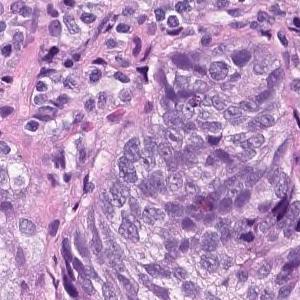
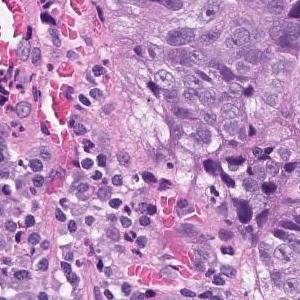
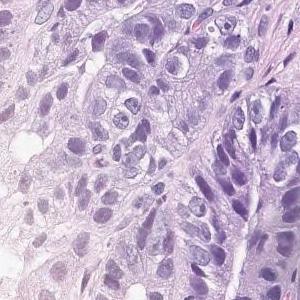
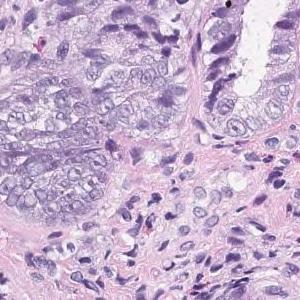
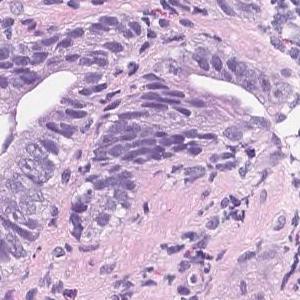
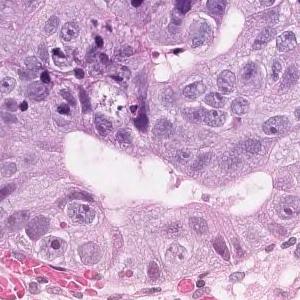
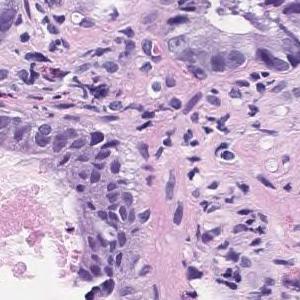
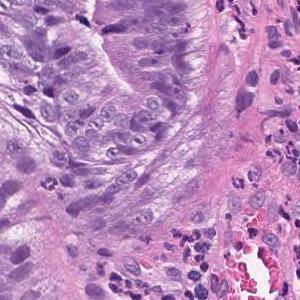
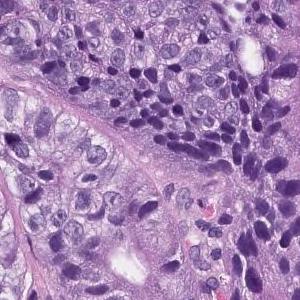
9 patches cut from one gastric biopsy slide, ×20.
Pathology report for the biopsy slide these tiles were cut from. The findings and the diagnosis refer to the entire slide; these tiles show only part of it, possibly with non-tumor tissue, and may not show every feature named.
On the superficial epithelium, tumor tissue consisting of medium to small irregular tubules partially fused and proliferated is observed. moderately differentiated tubular adenocarcinoma
